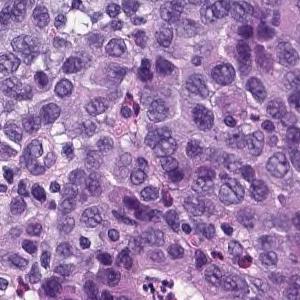
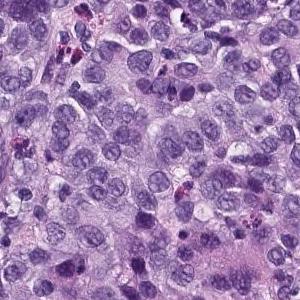
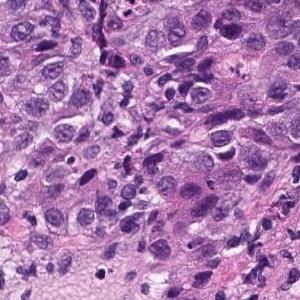
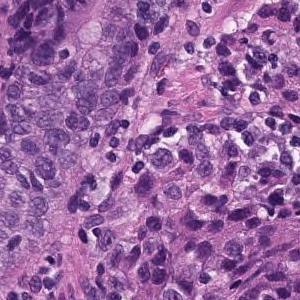
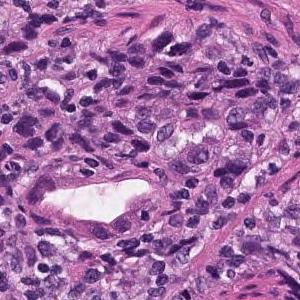
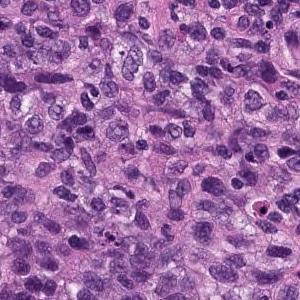
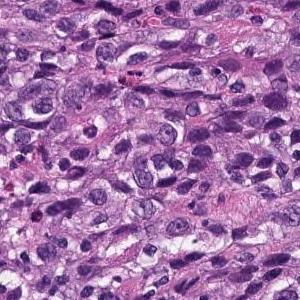
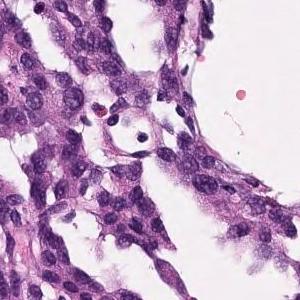
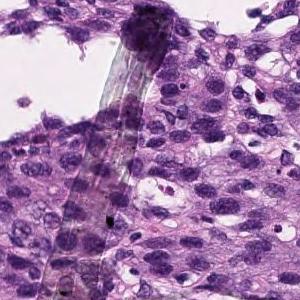
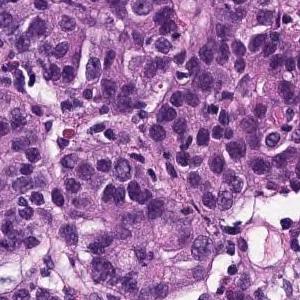
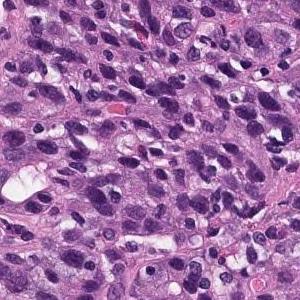
11 tiles from the same stomach biopsy slide · scanned at ×20 · H&E stain.
Pathology report for the biopsy slide these tiles were cut from. What the report and the diagnosis say applies to the whole slide; these tiles may miss some of the features named and may include tissue that is not tumor.
In the superficial epithelium, tumor tissue that invades by forming medium-sized to small, irregular ducts is observed. Moderately differentiated adenocarcinoma.
Classified as moderately differentiated tubular adenocarcinoma.
